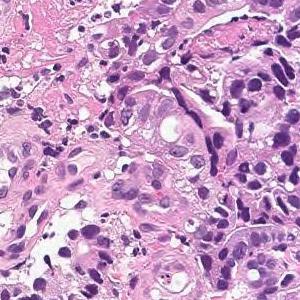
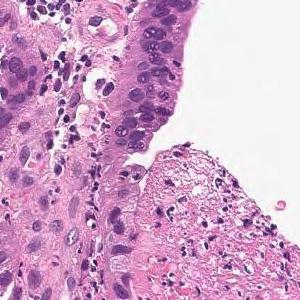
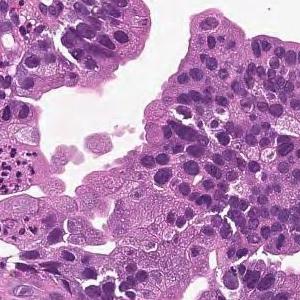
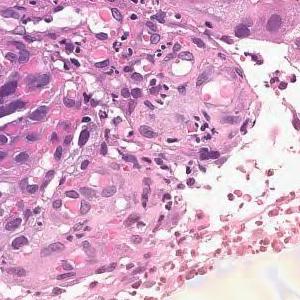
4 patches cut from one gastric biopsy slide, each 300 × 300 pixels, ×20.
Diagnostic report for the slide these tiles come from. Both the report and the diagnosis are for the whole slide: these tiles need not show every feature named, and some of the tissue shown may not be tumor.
From the superficial epithelium to the muscularis mucosae, tumor tissue consisting of medium-sized and irregular glandular ducts infiltrating is observed. Well differentiated tubular adenocarcinoma
